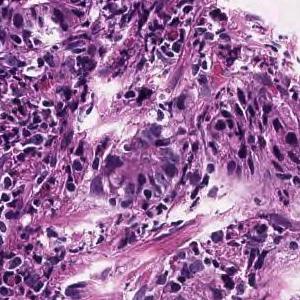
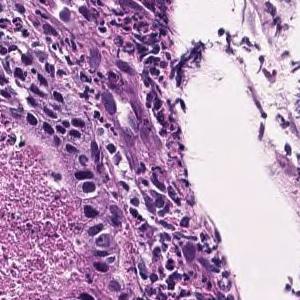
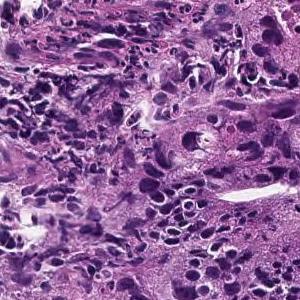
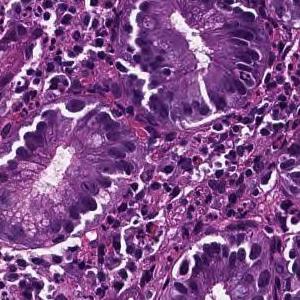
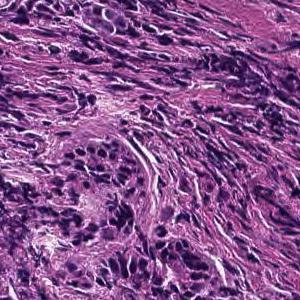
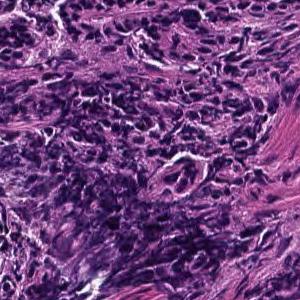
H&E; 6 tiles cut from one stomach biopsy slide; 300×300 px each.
The pathologist's report on the biopsy slide these tiles were taken from. What the report and the diagnosis say applies to the whole slide; these tiles may miss some of the features named and may include tissue that is not tumor.
On the superficial epithelium, tumor tissue consisting of large, irregular glandular ducts partially fused and infiltrated is observed. Well to moderately differentiated tubular adenocarcinoma (well differentiated tubular adenocarcinoma, moderately differentiated tubular adenocarcinoma)
Histologic type: Well to moderately differentiated tubular adenocarcinoma.
